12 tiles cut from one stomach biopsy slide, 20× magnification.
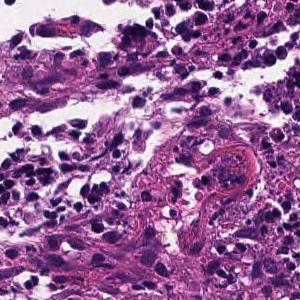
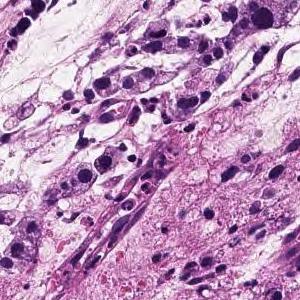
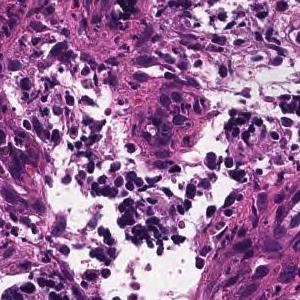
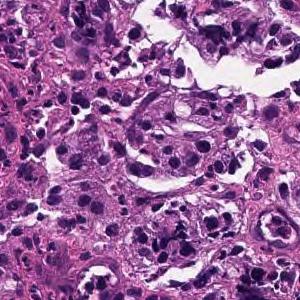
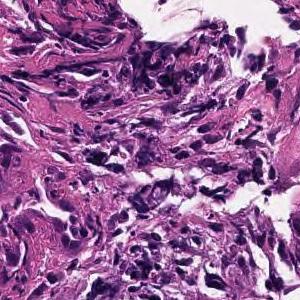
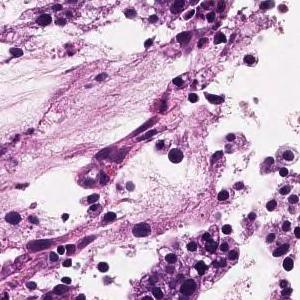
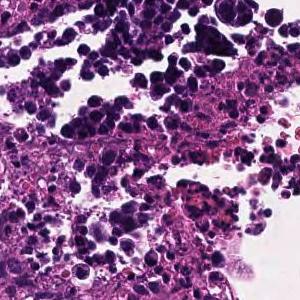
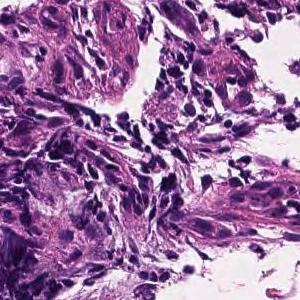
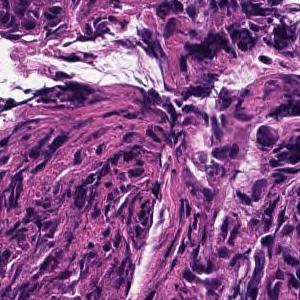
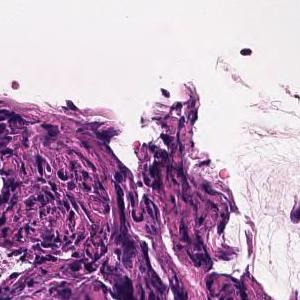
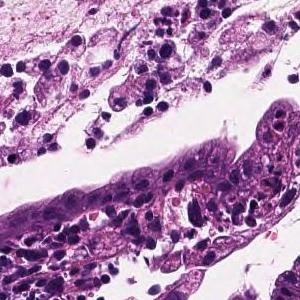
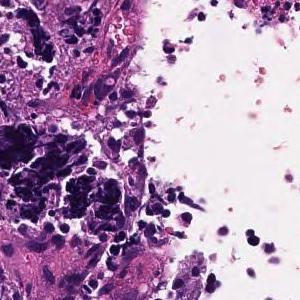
Pathology report for the slide these tiles were cut from. The report describes the whole slide, diagnosis included: not every finding it names need appear in these tiles, which may also show non-tumor tissue.
The superficial epithelium shows a large sheet-like shape, and some tumor tissue infiltrates with small irregular ducts. Poorly differentiated adenocarcinoma, solid-type
Histologic type: Poorly differentiated adenocarcinoma, solid type, a category of the Japanese Classification of Gastric Carcinoma; in the WHO 2019 classification it is tubular adenocarcinoma, poorly differentiated.
